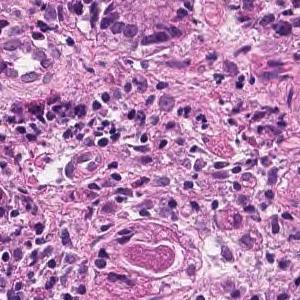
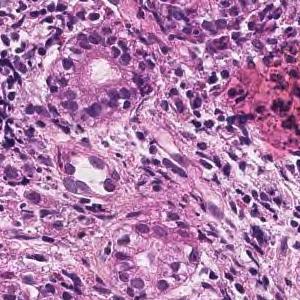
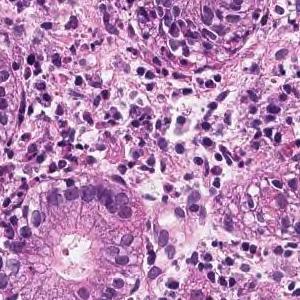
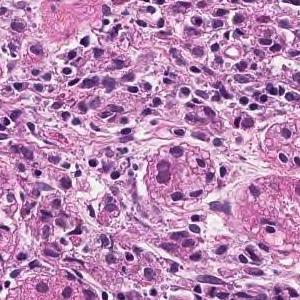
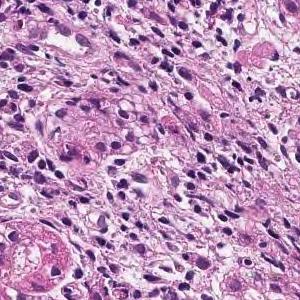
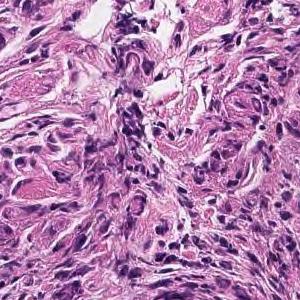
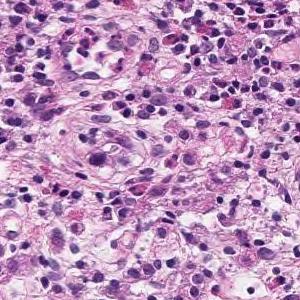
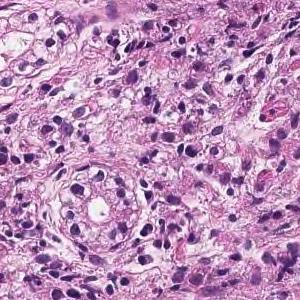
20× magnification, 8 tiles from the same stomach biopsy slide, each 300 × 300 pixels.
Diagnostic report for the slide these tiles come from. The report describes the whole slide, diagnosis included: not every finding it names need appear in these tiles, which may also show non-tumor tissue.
Tumor tissue consisting of cord-like or small, irregular glandular ducts fused and infiltrated is observed in the superficial epithelium. Poorly differentiated adenocarcinoma, non-solid type
"Non-solid type" is a category of the Japanese Classification of Gastric Carcinoma.
